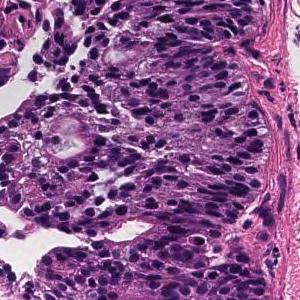
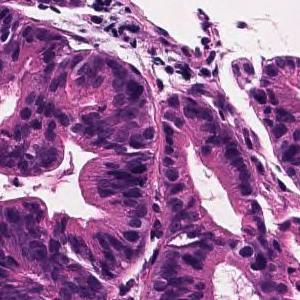
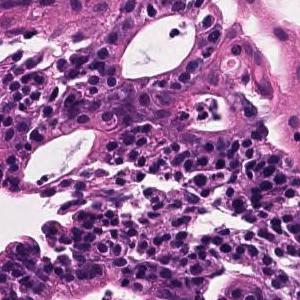
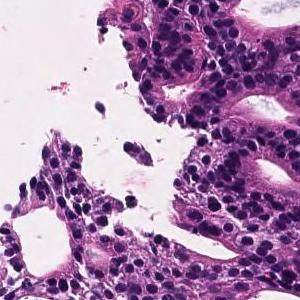
4 tiles from the same stomach biopsy slide, 300×300 px each, scanned at ×20, hematoxylin and eosin stain.
The pathologist's report on the biopsy slide these tiles were taken from. What the report and the diagnosis say applies to the whole slide; these tiles may miss some of the features named and may include tissue that is not tumor.
In the superficial epithelium, tumor tissue that invades by forming medium-sized to small, irregular ducts is observed. Moderately differentiated adenocarcinoma.
Tumor subtype: moderately differentiated tubular adenocarcinoma.
